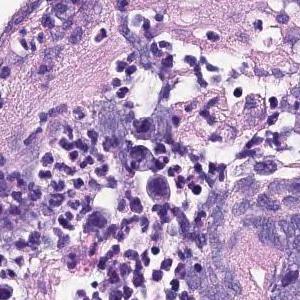
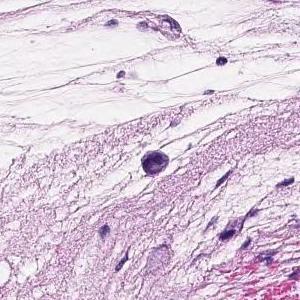
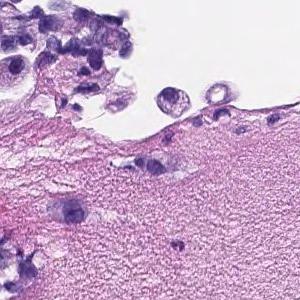
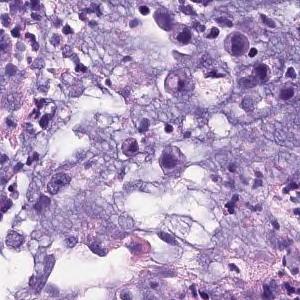
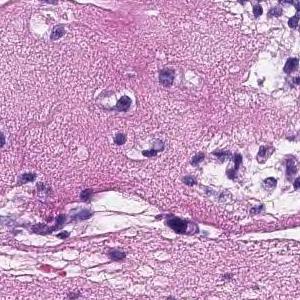
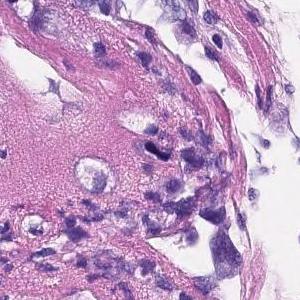
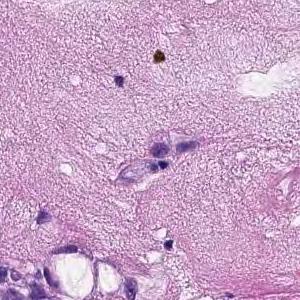
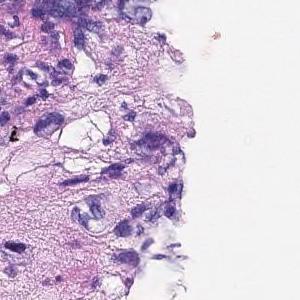
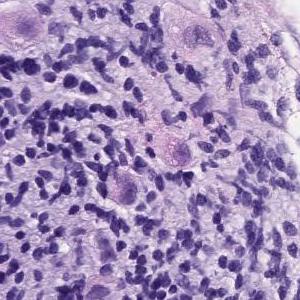
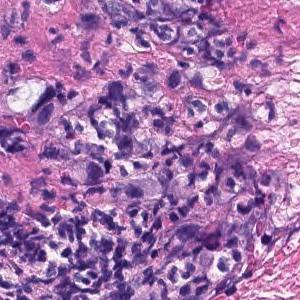
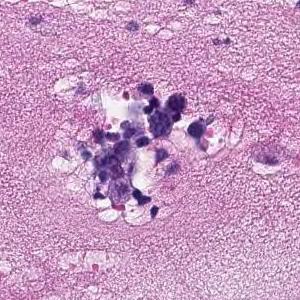
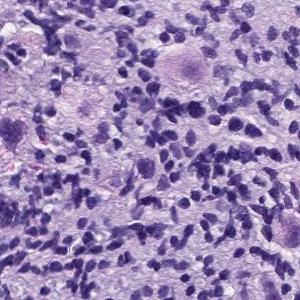
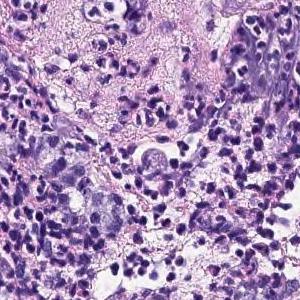
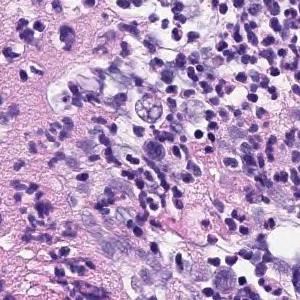
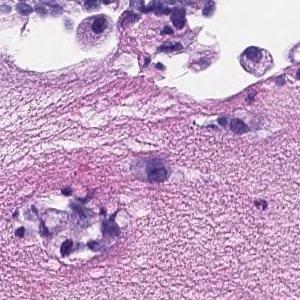
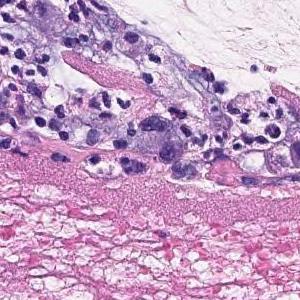
16 patches cut from one gastric biopsy slide, 300×300 px each, H&E stain, scanned at ×20.
Pathology report for the biopsy slide these tiles were cut from. The report and the diagnosis describe the slide as a whole, so these tiles may not show every feature named and may include non-tumor tissue.
A large atypical epithelium lacking ductal construction with swelling of the nucleus is seen to proliferate solidly. Poorly differentiated adenocarcinoma.
Classified as poorly differentiated adenocarcinoma, non-solid type.
"Non-solid type" is a category of the Japanese Classification of Gastric Carcinoma.
